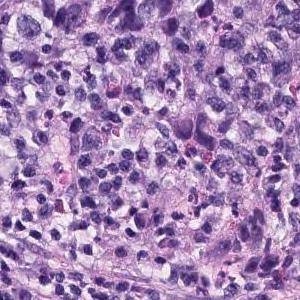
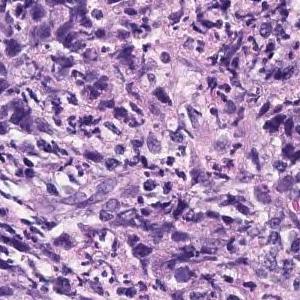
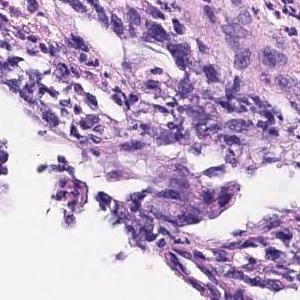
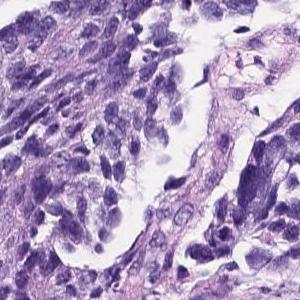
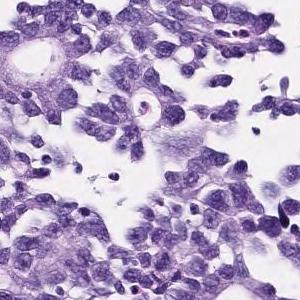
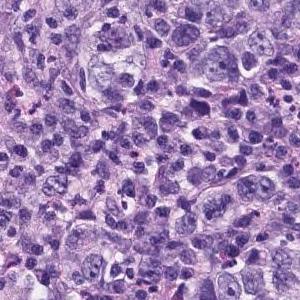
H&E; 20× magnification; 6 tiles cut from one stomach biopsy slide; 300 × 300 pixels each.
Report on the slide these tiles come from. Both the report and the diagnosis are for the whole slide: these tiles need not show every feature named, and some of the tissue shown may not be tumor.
The superficial epithelium shows a large sheet-like shape, and some tumor tissue infiltrates with small irregular ducts. Poorly differentiated adenocarcinoma, solid-type
Tumor subtype: poorly differentiated adenocarcinoma, solid type. This name comes from the Japanese Classification of Gastric Carcinoma; the WHO 2019 classification calls it tubular adenocarcinoma, poorly differentiated.
